H&E, ×20, 8 image tiles from a single gastric biopsy slide, 300×300 px each.
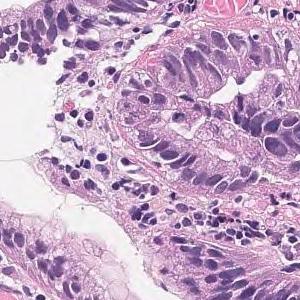
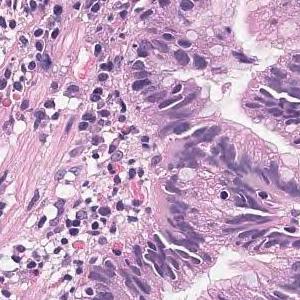
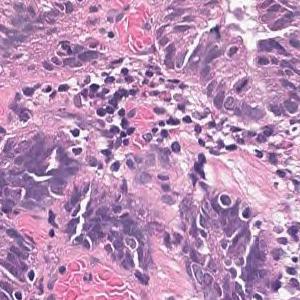
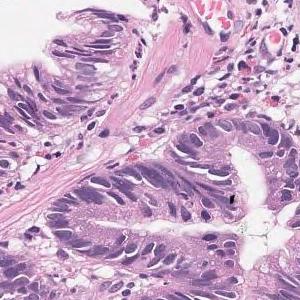
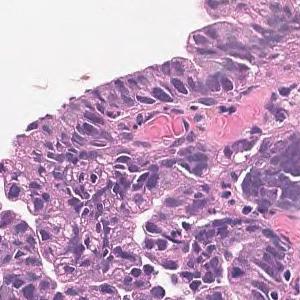
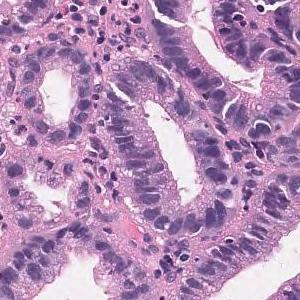
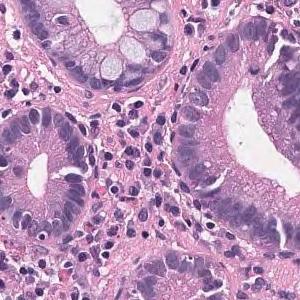
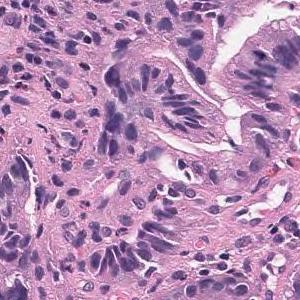
The pathologist's report on the biopsy slide these tiles were taken from. The report describes the whole slide, diagnosis included: not every finding it names need appear in these tiles, which may also show non-tumor tissue.
Tumor tissue that grows tubular from the surface to the glandular fossa is seen. Adenocarcinoma.
Histologic type: Well differentiated tubular adenocarcinoma.
